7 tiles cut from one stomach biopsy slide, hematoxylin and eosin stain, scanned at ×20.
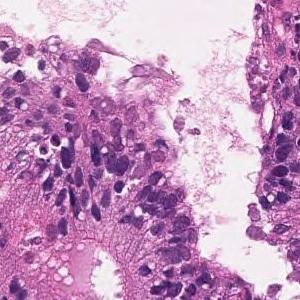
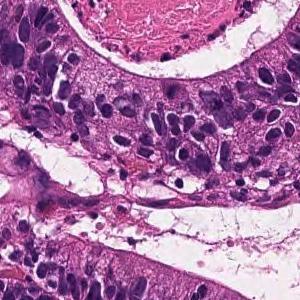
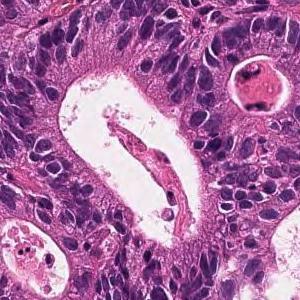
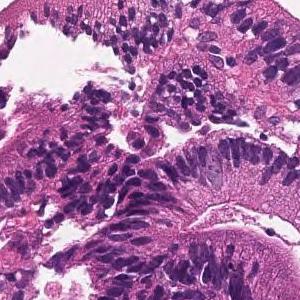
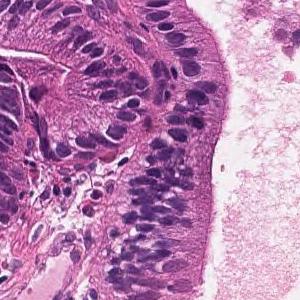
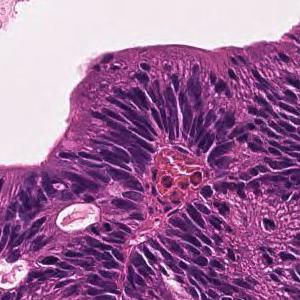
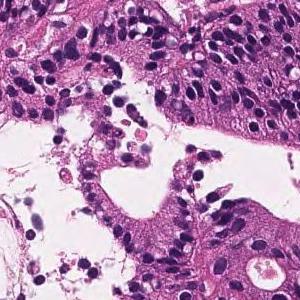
Report on the slide these tiles come from. The report and the diagnosis describe the slide as a whole, so these tiles may not show every feature named and may include non-tumor tissue.
From the superficial epithelium to the muscularis mucosae, tumor tissue infiltrating by forming medium-sized irregular gland ducts is observed. Large tumor cells exhibit large nucleus and hyperchromatism. Well differentiated tubular adenocarcinoma
